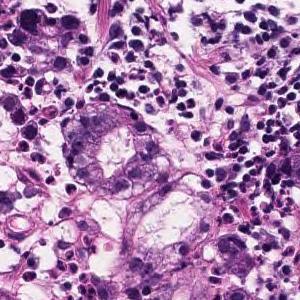
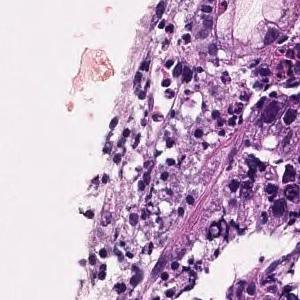
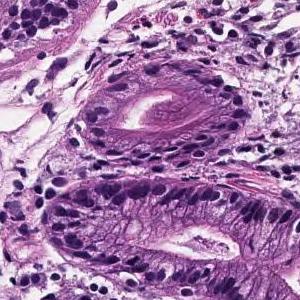
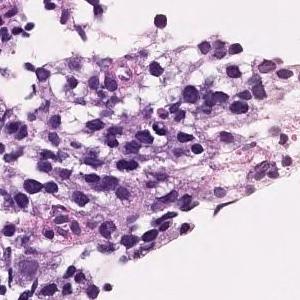
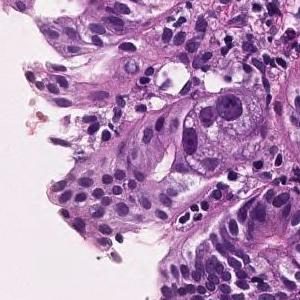
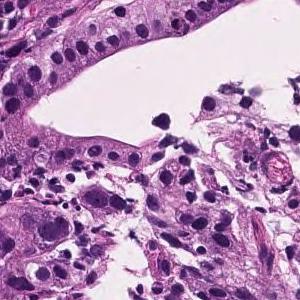
6 patches cut from one gastric biopsy slide; H&E; 20× magnification.
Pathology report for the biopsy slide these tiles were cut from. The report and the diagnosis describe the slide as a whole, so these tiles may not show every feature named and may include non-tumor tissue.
In the superficial epithelium, tumor tissue that invades by forming medium-sized to small, irregular ducts is observed. moderately differentiated tubular adenocarcinoma.
